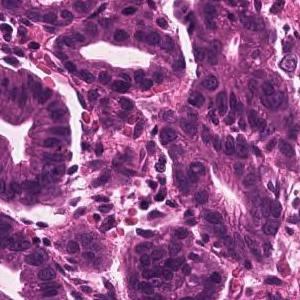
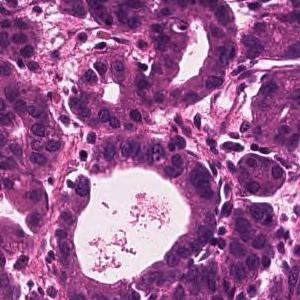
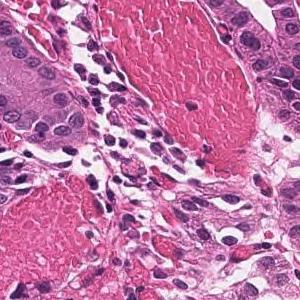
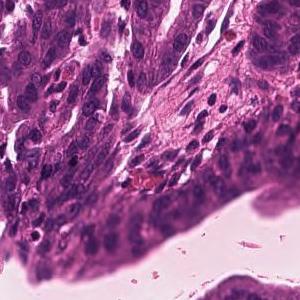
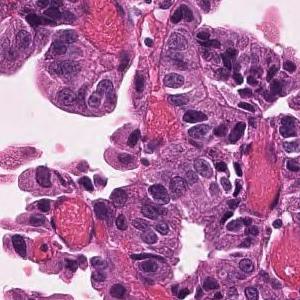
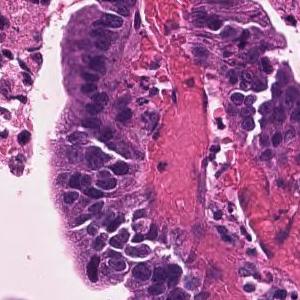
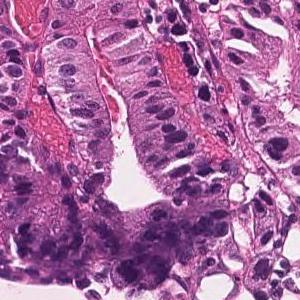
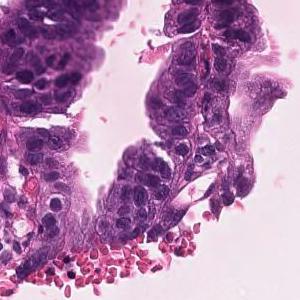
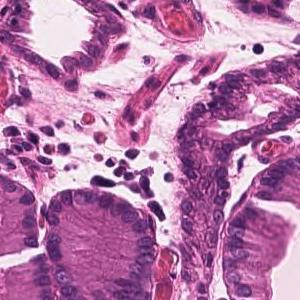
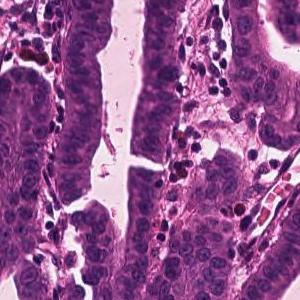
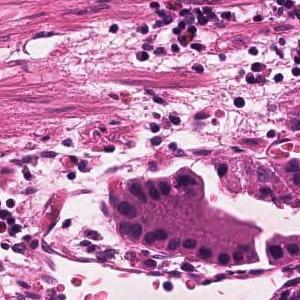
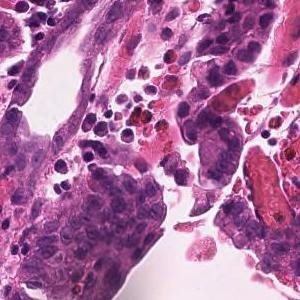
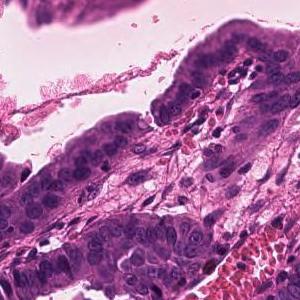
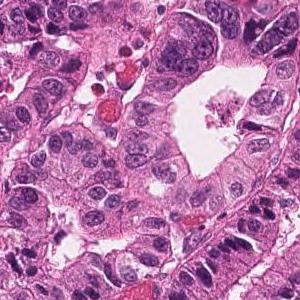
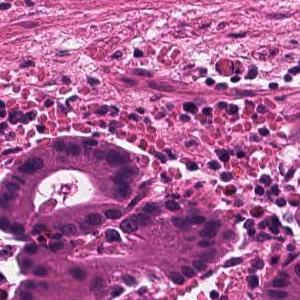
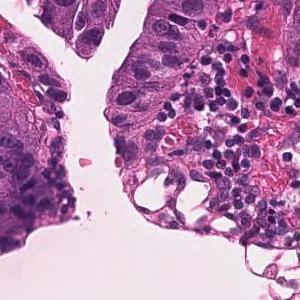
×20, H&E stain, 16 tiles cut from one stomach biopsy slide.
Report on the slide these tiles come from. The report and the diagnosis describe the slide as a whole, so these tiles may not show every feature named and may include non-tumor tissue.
Infiltrating tumor tissue with medium-sized, irregular ductal structure or large papillary appearance is observed. Well differentiated tubular adenocarcinoma
